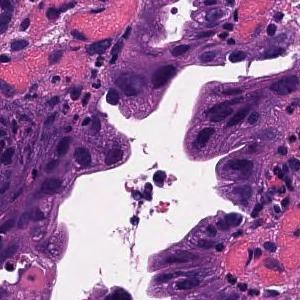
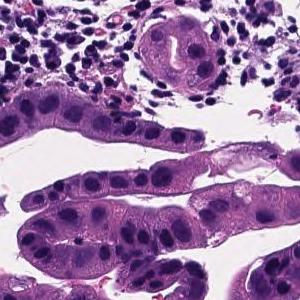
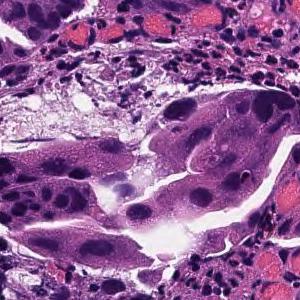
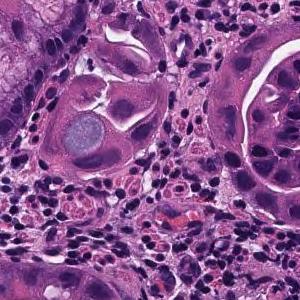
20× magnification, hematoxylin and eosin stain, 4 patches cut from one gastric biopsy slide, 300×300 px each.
Pathology report for the biopsy slide these tiles were cut from. The report and the diagnosis describe the slide as a whole, so these tiles may not show every feature named and may include non-tumor tissue.
Tumor tissue consisting of large papillary structures is found in the superficial epithelium. Papillary adenocarcinoma.
